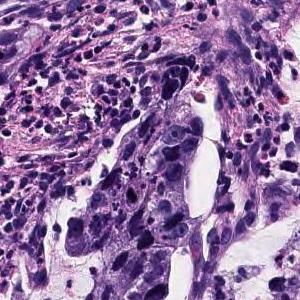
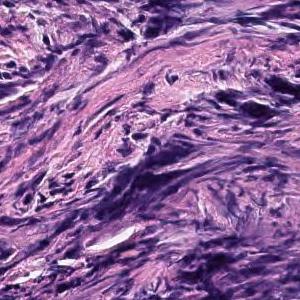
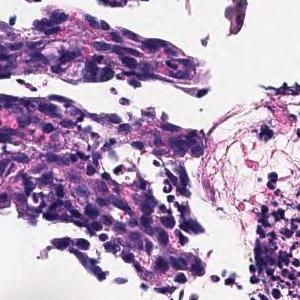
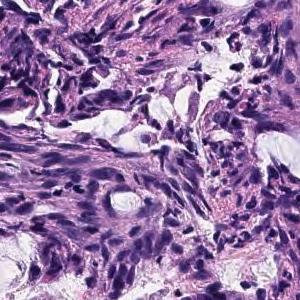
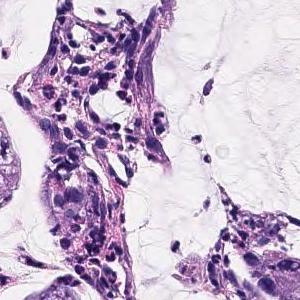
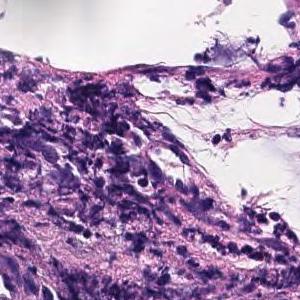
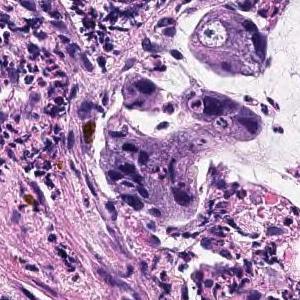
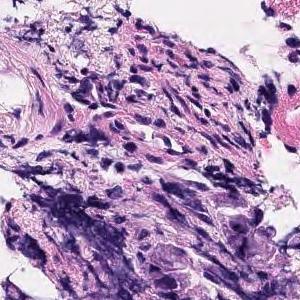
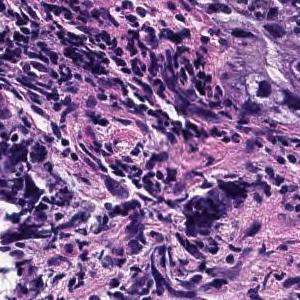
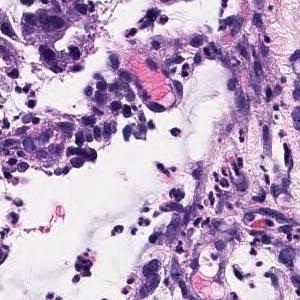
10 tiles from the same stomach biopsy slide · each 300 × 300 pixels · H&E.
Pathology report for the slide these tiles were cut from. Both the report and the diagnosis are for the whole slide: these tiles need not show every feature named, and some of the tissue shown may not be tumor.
The superficial epithelium shows small cord-like infiltrating tumor tissue. Some part of neoplastic cells are signet ring cell type which show single invasion manner. Poorly differentiated adenocarcinoma, non-solid type.
The term "non-solid type" comes from the Japanese Classification of Gastric Carcinoma.
